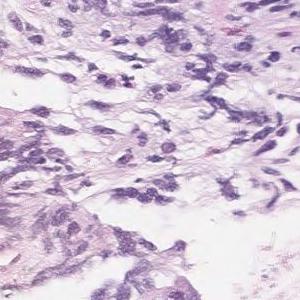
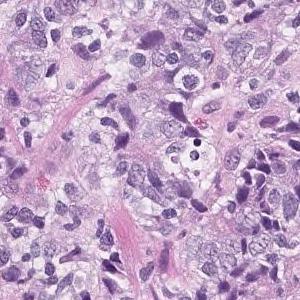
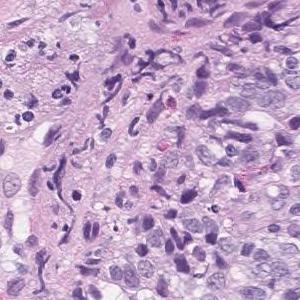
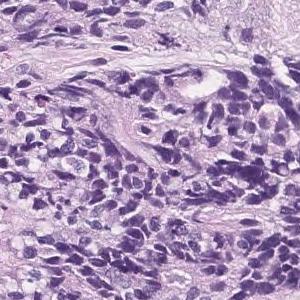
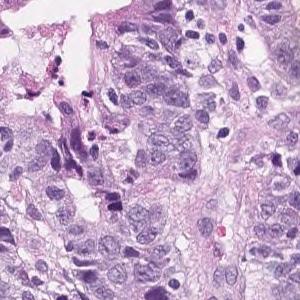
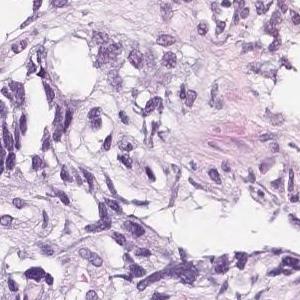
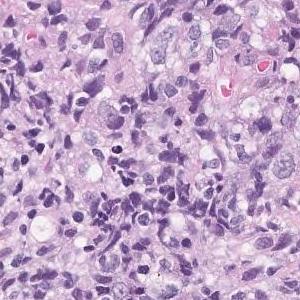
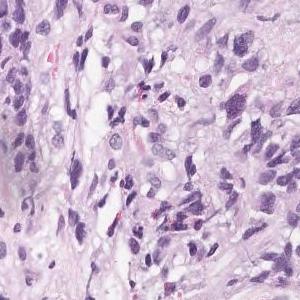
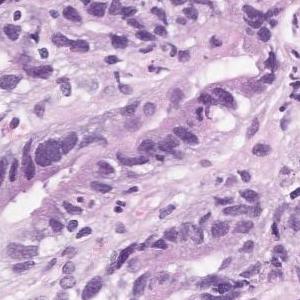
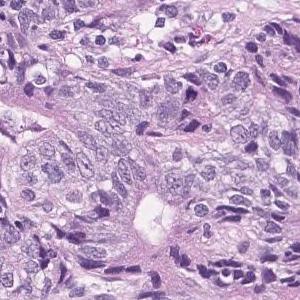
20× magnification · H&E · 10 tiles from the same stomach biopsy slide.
The pathologist's report on the biopsy slide these tiles were taken from. The report and the diagnosis cover the entire slide, so not every feature they name need be visible here, and some tissue shown may not be tumor.
Highly columnar epithelium with disordered nuclear localization proliferates showing fusion ductal construction. moderately differentiated tubular adenocarcinoma
